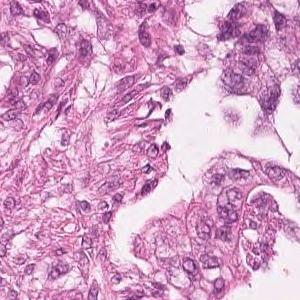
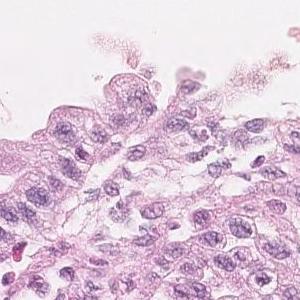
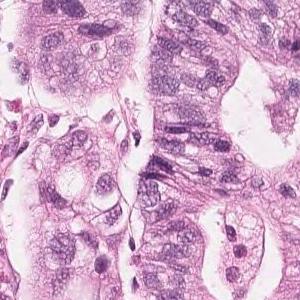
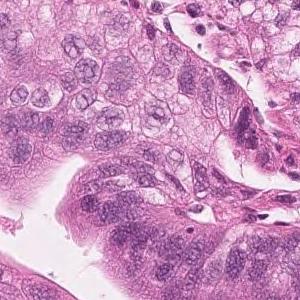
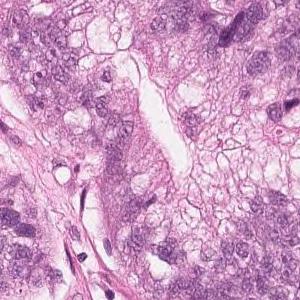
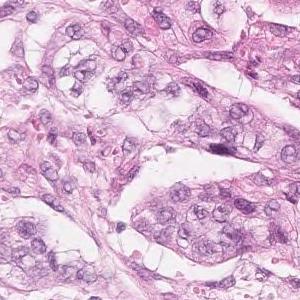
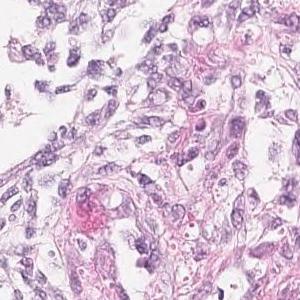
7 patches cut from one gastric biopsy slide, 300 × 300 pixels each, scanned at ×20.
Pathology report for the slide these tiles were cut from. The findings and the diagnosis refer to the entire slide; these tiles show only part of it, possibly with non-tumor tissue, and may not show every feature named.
Highly columnar epithelium with disordered nuclear localization proliferates showing fusion ductal construction. moderately differentiated tubular adenocarcinoma
